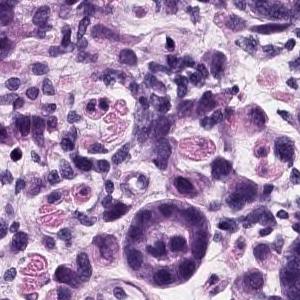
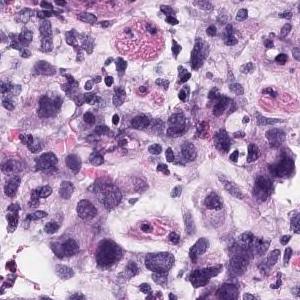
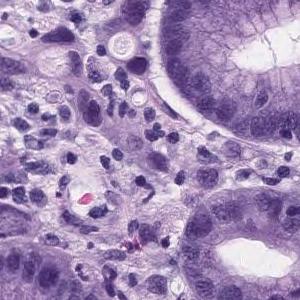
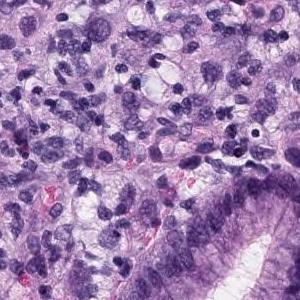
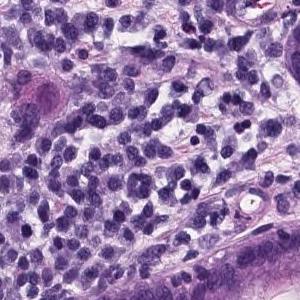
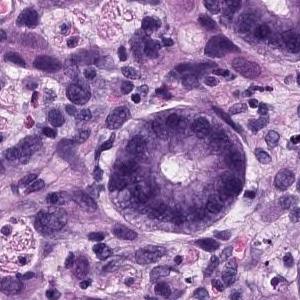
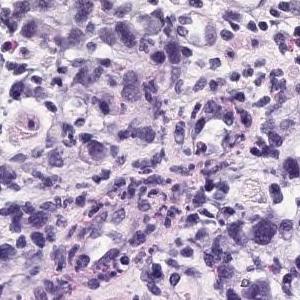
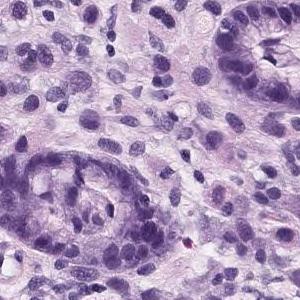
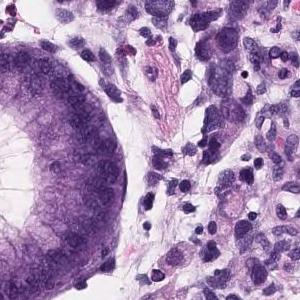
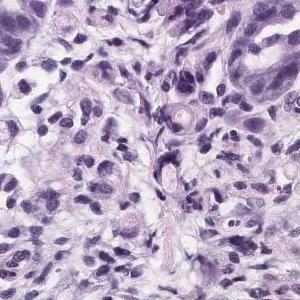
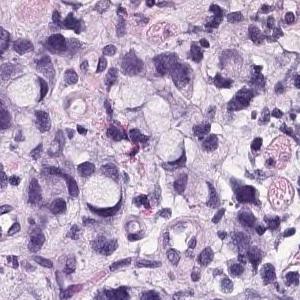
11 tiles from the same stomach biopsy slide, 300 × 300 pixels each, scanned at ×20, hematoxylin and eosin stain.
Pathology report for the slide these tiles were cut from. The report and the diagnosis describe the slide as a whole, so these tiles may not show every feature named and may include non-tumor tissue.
Group 5, Adenocarcinoma. Poorly differentiated adenocarcinoma, non-solid type
The term "non-solid type" comes from the Japanese Classification of Gastric Carcinoma.
